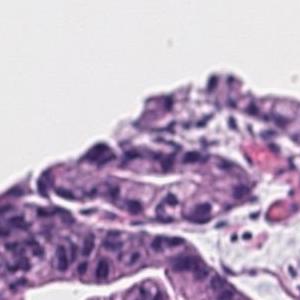
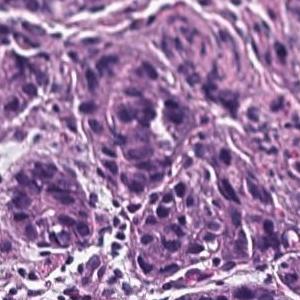
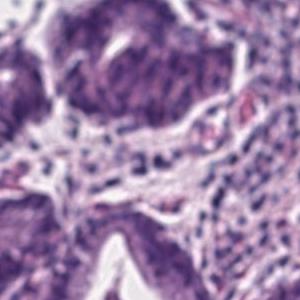
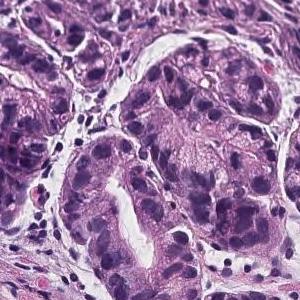
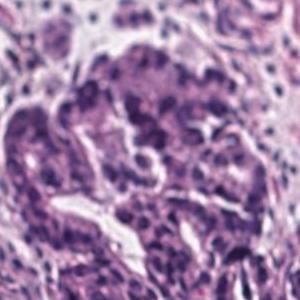
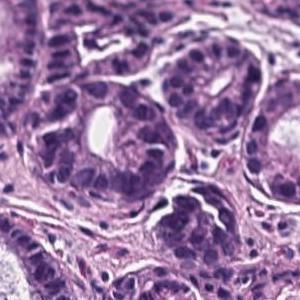
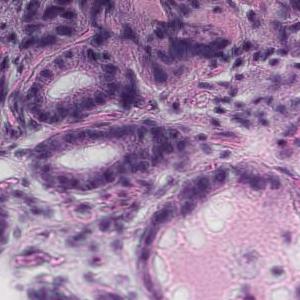
7 tiles cut from one stomach biopsy slide, 300 × 300 pixels each, scanned at ×20, hematoxylin and eosin stain.
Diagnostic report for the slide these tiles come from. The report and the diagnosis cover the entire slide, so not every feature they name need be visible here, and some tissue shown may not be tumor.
On the superficial epithelium, tumor tissue consisting of medium to small irregular tubules partially fused and proliferated is observed. Well differentiated tubular adenocarcinoma
